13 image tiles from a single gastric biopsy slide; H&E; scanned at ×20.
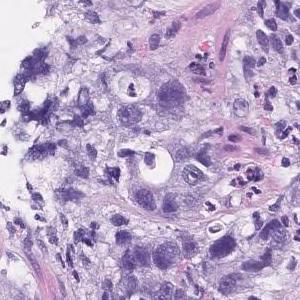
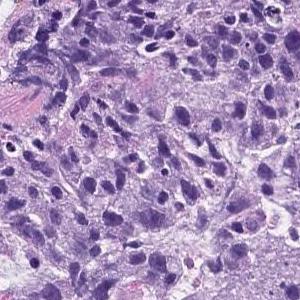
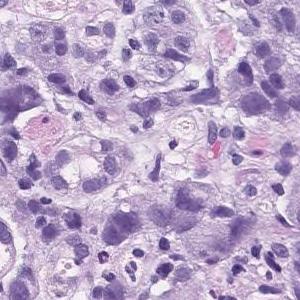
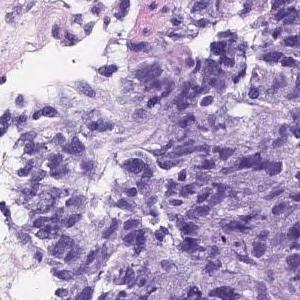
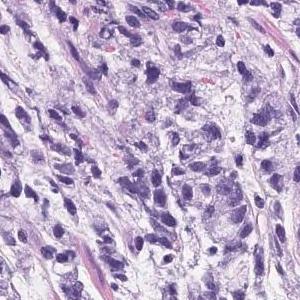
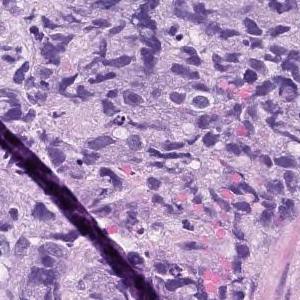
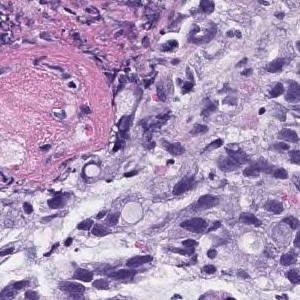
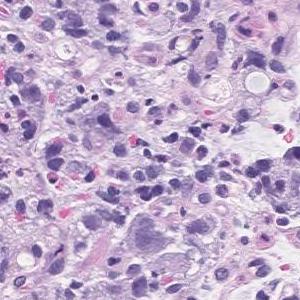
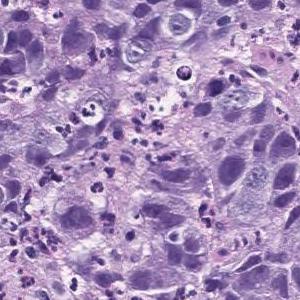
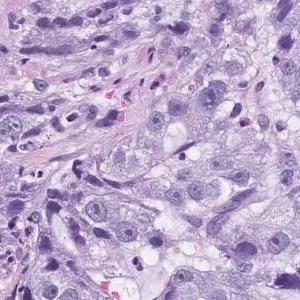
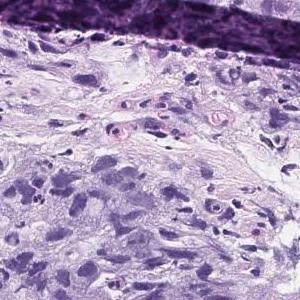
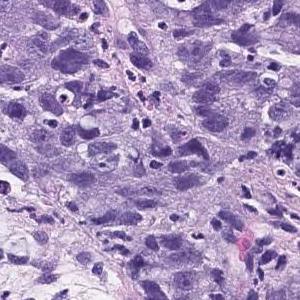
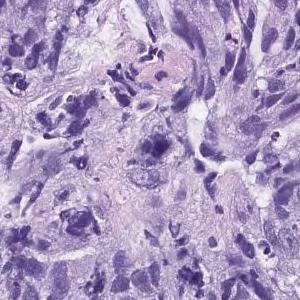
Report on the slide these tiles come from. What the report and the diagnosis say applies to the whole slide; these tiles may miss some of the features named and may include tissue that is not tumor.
Atypical l cells with atypical nuclei forming solid vesicles or small irregular atypical ducts that proliferate in a complex manner. poorly differentiated adenocarcinoma, solid type, moderately differentiated tubular adenocarcinoma
"Solid type" is a category of the Japanese Classification of Gastric Carcinoma; in the WHO 2019 classification it is tubular adenocarcinoma, poorly differentiated.
